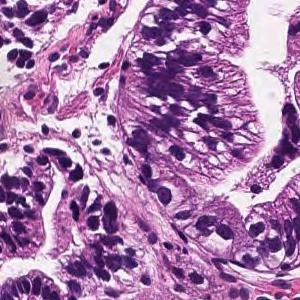
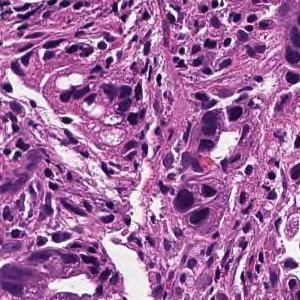
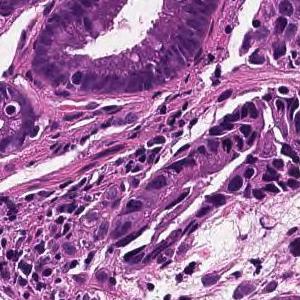
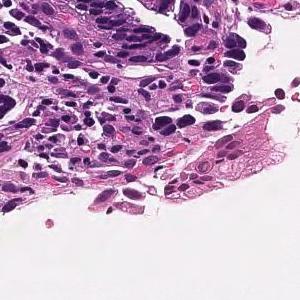
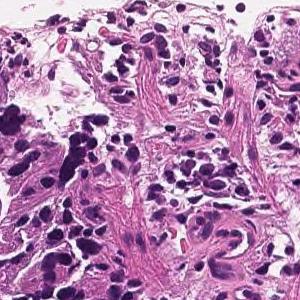
H&E, ×20, 5 patches cut from one gastric biopsy slide, 300×300 px each.
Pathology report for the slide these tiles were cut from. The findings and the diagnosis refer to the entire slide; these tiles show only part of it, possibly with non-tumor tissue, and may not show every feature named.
On the superficial epithelium, tumor tissue is found in which medium-sized irregular gland ducts fuse with each other and infiltrate. moderately differentiated tubular adenocarcinoma or Poorly differentiated adenocarcinoma, non-solid type
Histological subtype: Moderately to poorly differentiated adenocarcinoma.
The non-solid type named here is a Japanese Classification of Gastric Carcinoma category.
